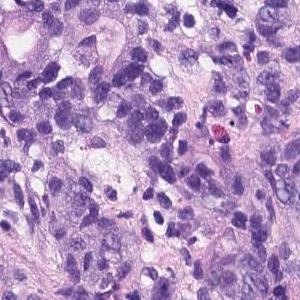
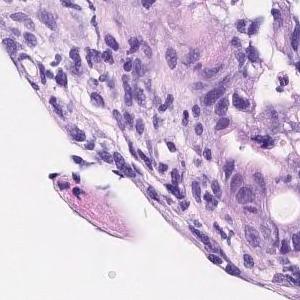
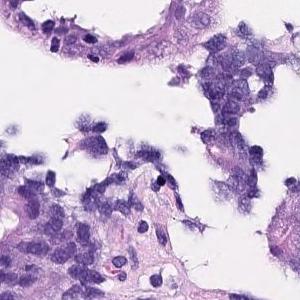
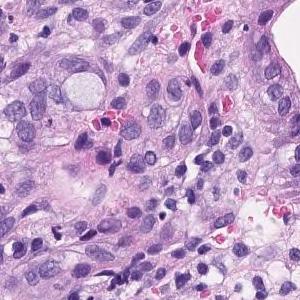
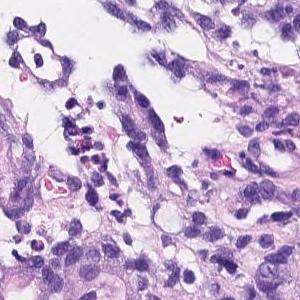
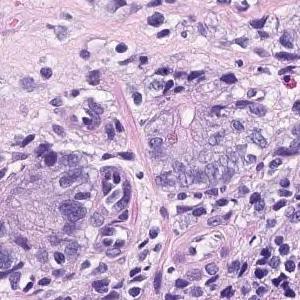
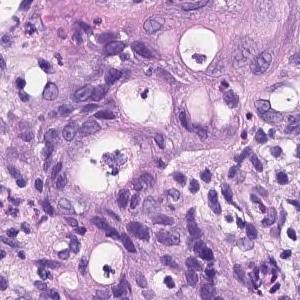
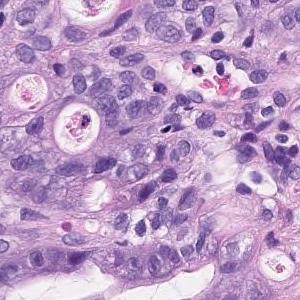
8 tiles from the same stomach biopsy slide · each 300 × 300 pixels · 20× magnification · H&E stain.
The pathologist's report on the biopsy slide these tiles were taken from. The report describes the whole slide, diagnosis included: not every finding it names need appear in these tiles, which may also show non-tumor tissue.
Irregularly fused atypical ducts proliferating while replacing existing ducts was observed. moderately differentiated tubular adenocarcinoma
